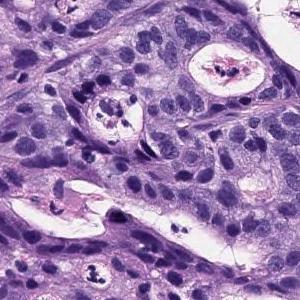
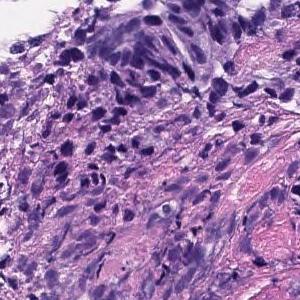
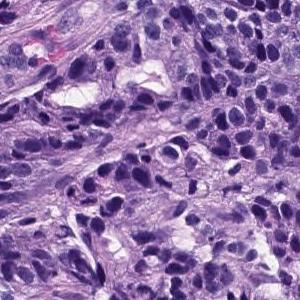
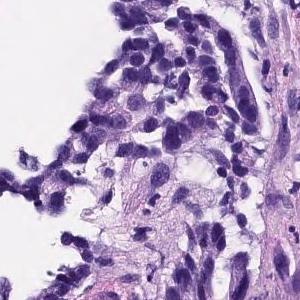
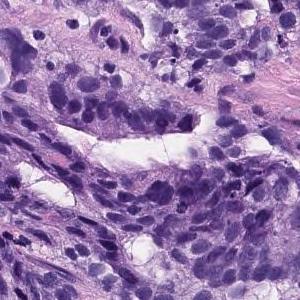
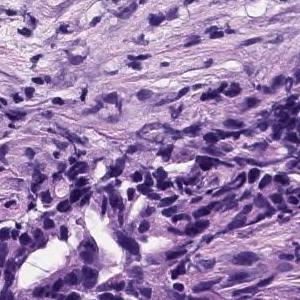
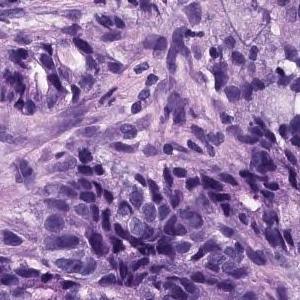
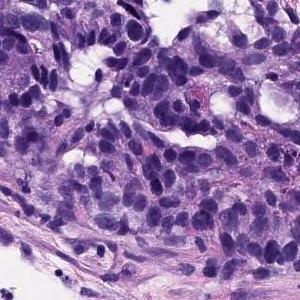
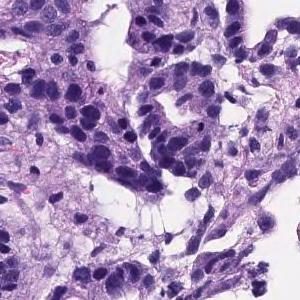
×20, 9 tiles from the same stomach biopsy slide.
Pathology report for the biopsy slide these tiles were cut from. The report describes the whole slide, diagnosis included: not every finding it names need appear in these tiles, which may also show non-tumor tissue.
In the superficial epithelium, tumor tissue that invades by forming medium-sized to small, irregular ducts is observed. Tumor cells are columnar or cuboidal in shape. Moderately differentiated adenocarcinoma.
Histologic type: Moderately differentiated tubular adenocarcinoma.
